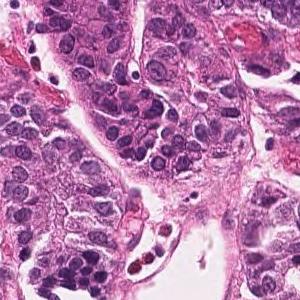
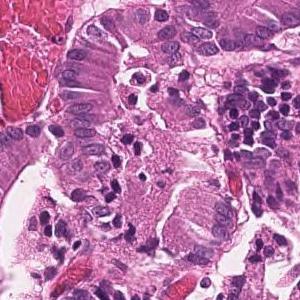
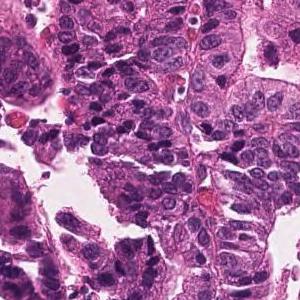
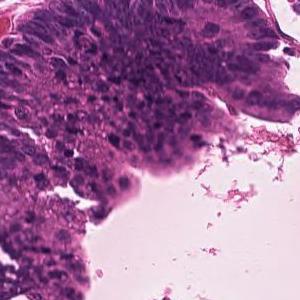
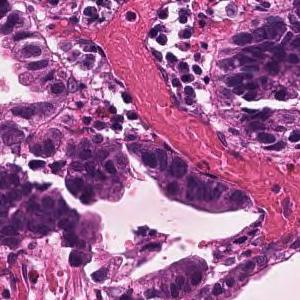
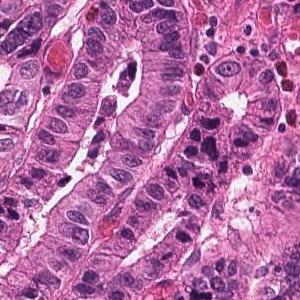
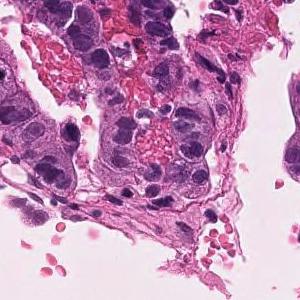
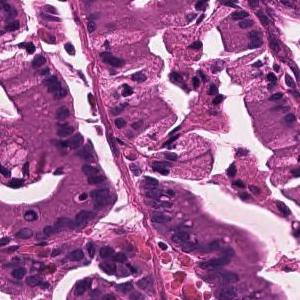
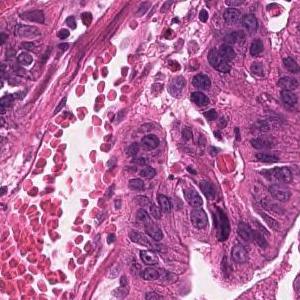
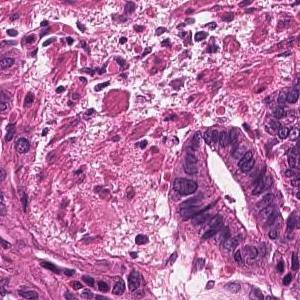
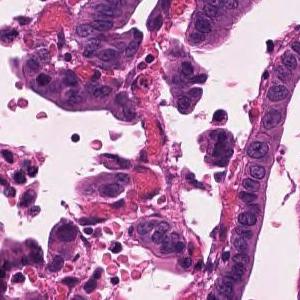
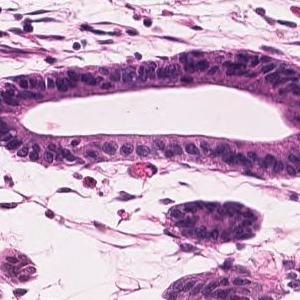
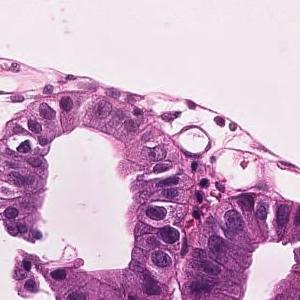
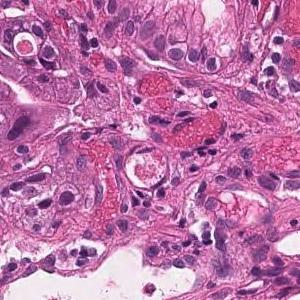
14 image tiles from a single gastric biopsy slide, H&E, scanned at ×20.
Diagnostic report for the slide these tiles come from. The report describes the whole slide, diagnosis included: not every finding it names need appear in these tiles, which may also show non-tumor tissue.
Infiltrating tumor tissue with medium-sized, irregular ductal structure or large papillary appearance is observed. Well differentiated tubular adenocarcinoma
